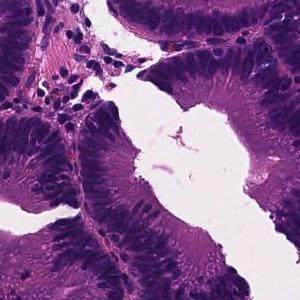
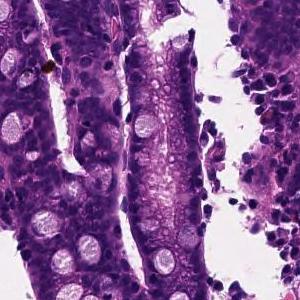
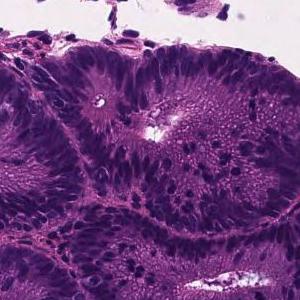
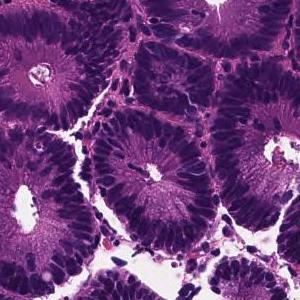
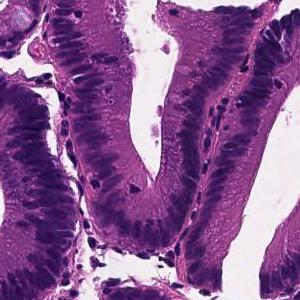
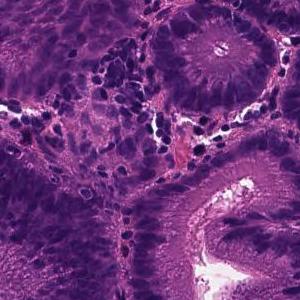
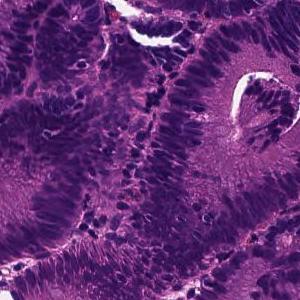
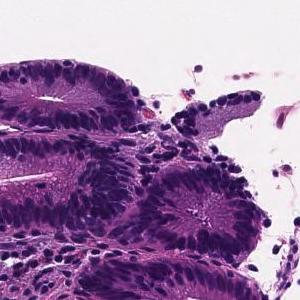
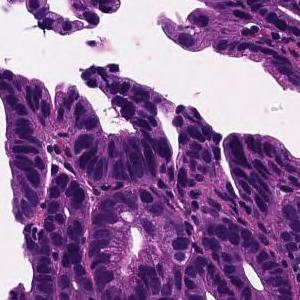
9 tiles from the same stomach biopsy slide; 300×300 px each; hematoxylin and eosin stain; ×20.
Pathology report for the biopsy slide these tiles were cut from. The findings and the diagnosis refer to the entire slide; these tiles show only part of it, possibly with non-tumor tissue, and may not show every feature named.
Tumor tissue in which medium to small irregular ducts infiltrate and proliferate in the submucosa can be seen in the epithelium. Well differentiated tubular adenocarcinoma
